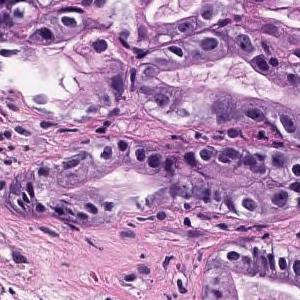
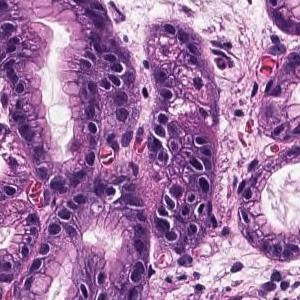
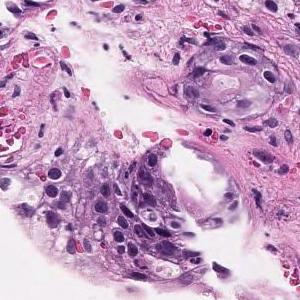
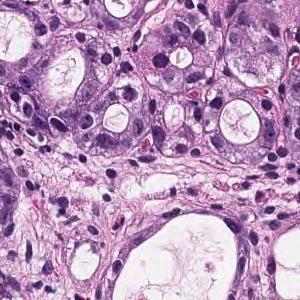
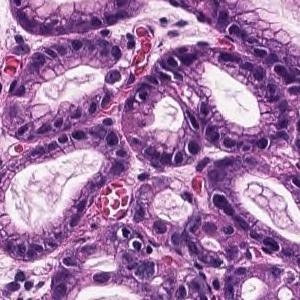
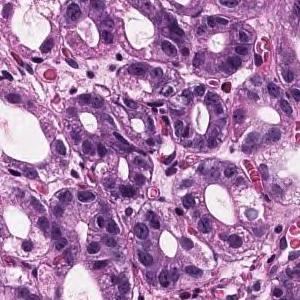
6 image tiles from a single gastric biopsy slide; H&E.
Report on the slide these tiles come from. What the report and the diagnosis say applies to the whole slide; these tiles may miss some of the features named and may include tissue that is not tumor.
On the superficial epithelium, tumor tissue that infiltrates by forming medium-sized round or small irregular ducts is observed. Papillary adenocarcinoma
